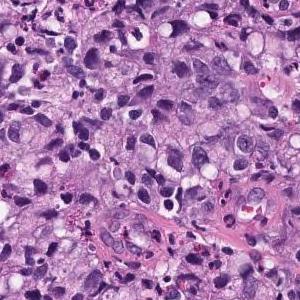
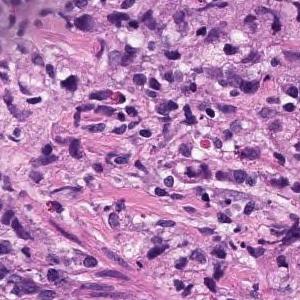
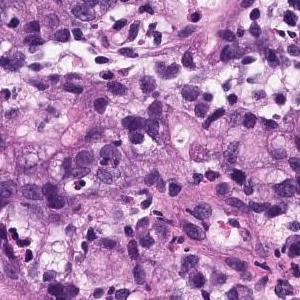
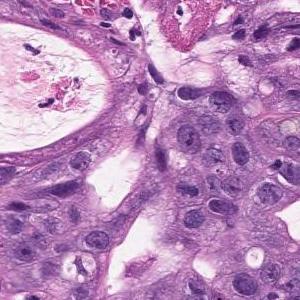
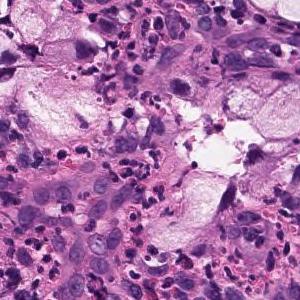
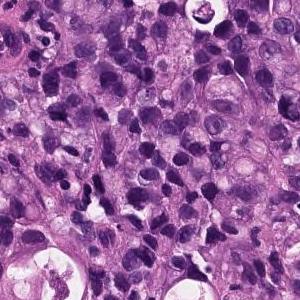
6 tiles cut from one stomach biopsy slide; each 300 × 300 pixels; H&E stain; 20× magnification.
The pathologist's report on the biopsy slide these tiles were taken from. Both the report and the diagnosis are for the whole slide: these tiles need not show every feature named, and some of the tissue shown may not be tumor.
Atypical epithelium forms irregularly fused gland ducts and proliferates. Poorly differentiated adenocarcinoma.
Histologic type: Poorly differentiated adenocarcinoma, non-solid type.
The term "non-solid type" comes from the Japanese Classification of Gastric Carcinoma.
